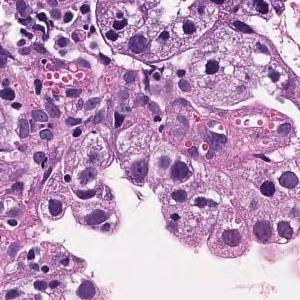
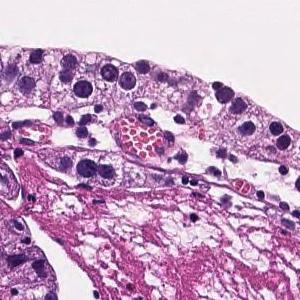
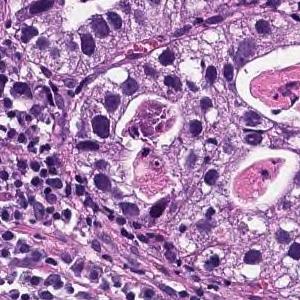
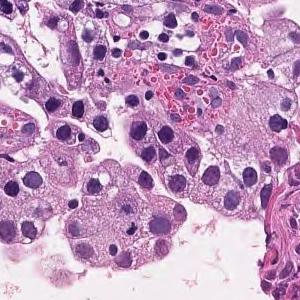
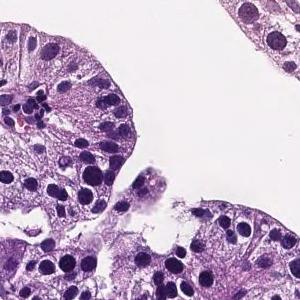
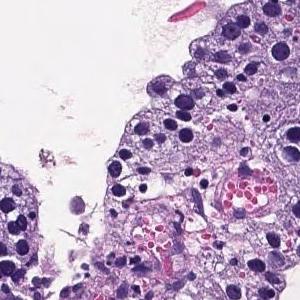
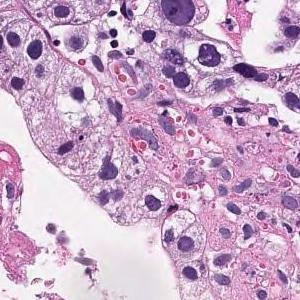
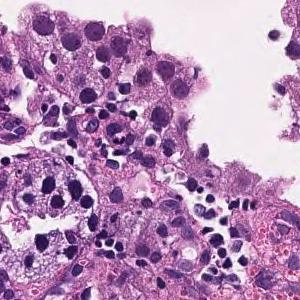
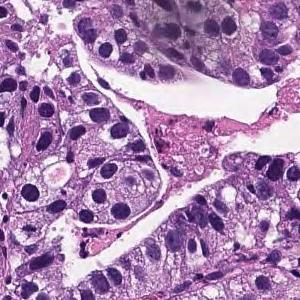
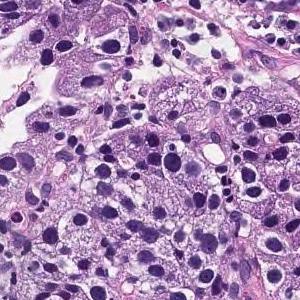
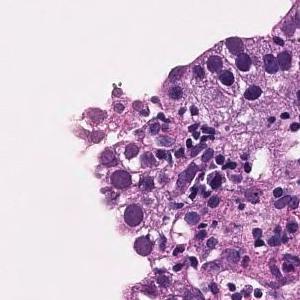
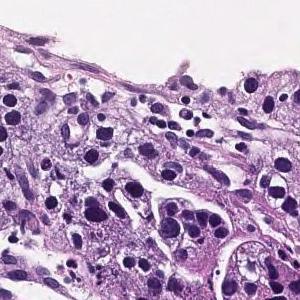
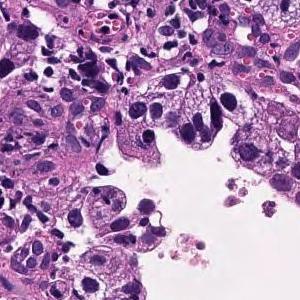
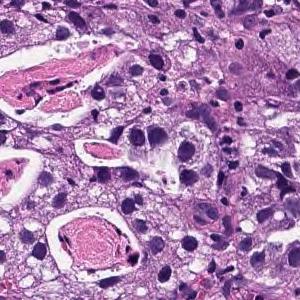
14 tiles from the same stomach biopsy slide, 300 × 300 pixels each, ×20, H&E.
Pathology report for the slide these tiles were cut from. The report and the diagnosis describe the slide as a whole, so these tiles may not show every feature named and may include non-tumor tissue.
On the superficial epithelium, tumor tissue that infiltrates by forming medium-sized papillary or small irregular ducts is observed. Papillary adenocarcinoma
